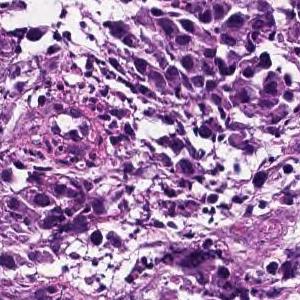
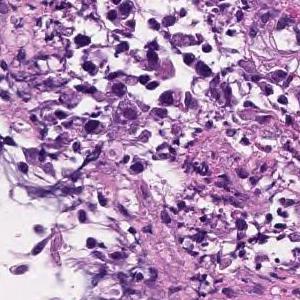
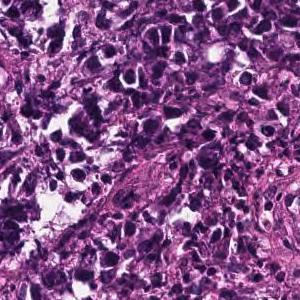
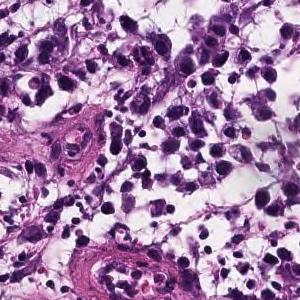
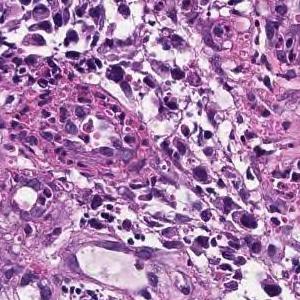
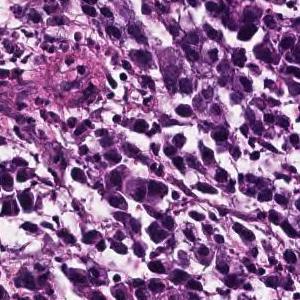
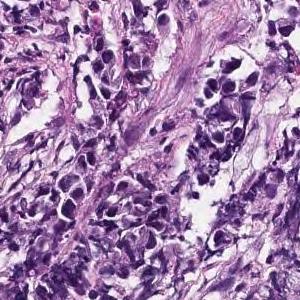
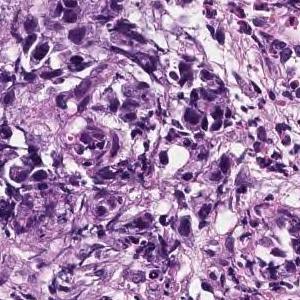
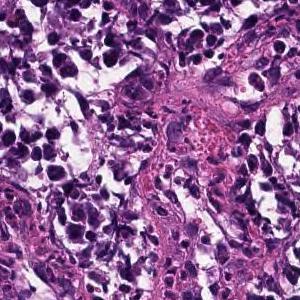
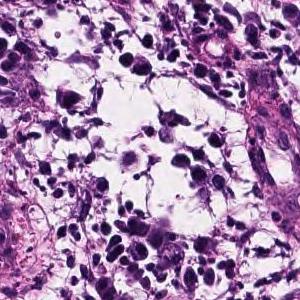
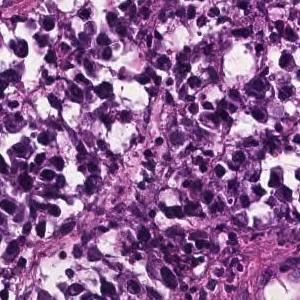
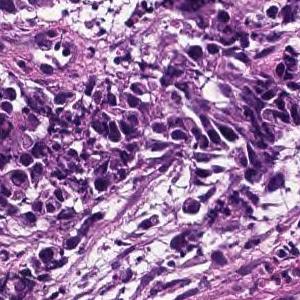
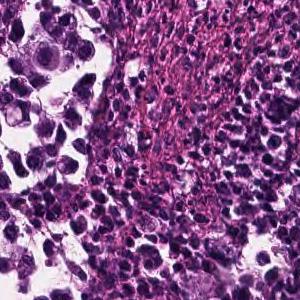
13 tiles cut from one stomach biopsy slide · 300 × 300 pixels each · scanned at ×20.
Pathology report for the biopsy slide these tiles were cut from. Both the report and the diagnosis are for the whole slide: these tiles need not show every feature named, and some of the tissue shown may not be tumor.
The superficial epithelium shows a small alveolar shape, and some tumor tissues infiltrate with a cord-like structure. Poorly differentiated adenocarcinoma, solid-type
Tumor subtype: poorly differentiated adenocarcinoma, solid type (Japanese Classification of Gastric Carcinoma). The WHO 2019 equivalent is tubular adenocarcinoma, poorly differentiated.
